×20 · hematoxylin and eosin stain · 5 tiles cut from one stomach biopsy slide.
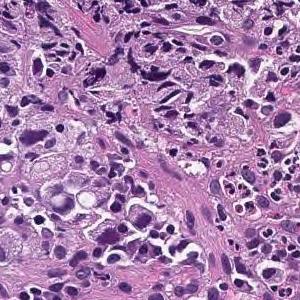
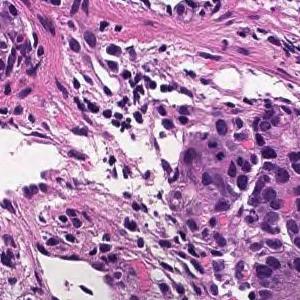
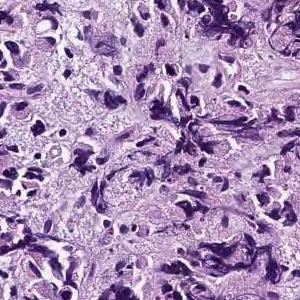
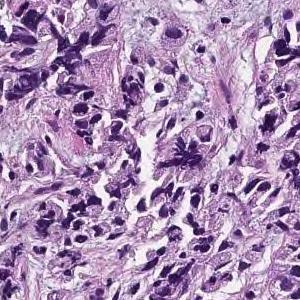
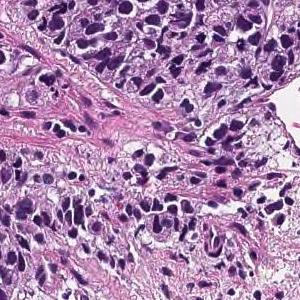
Report on the slide these tiles come from. The report and the diagnosis cover the entire slide, so not every feature they name need be visible here, and some tissue shown may not be tumor.
The lamina propria shows small cord-like tumor tissue that infiltrates with fibrosis and marked chronic inflammatory cell infiltration. Poorly differentiated adenocarcinoma, non-solid type
"Non-solid type" is a category of the Japanese Classification of Gastric Carcinoma.
